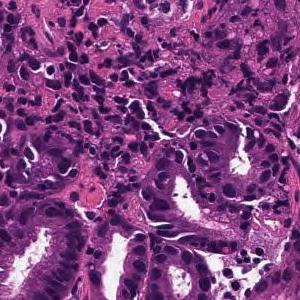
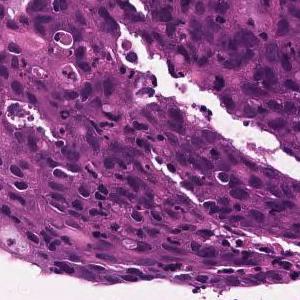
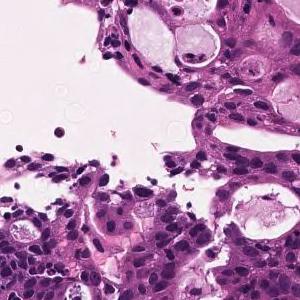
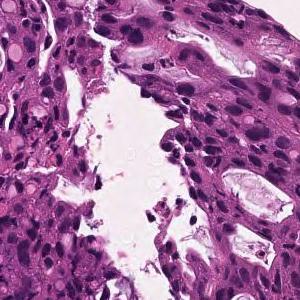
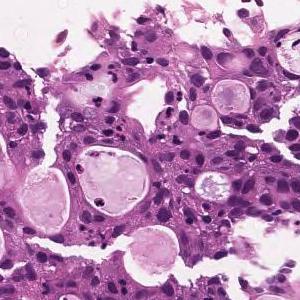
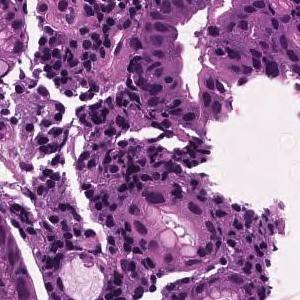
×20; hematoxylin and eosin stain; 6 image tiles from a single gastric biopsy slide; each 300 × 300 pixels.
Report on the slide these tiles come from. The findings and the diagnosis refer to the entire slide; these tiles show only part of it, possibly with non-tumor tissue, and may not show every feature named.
Cells with atypical nuclei are densely hyperplasia while forming sieve-like ducts of various sizes. moderately differentiated tubular adenocarcinoma
